20× magnification · H&E · 12 image tiles from a single gastric biopsy slide.
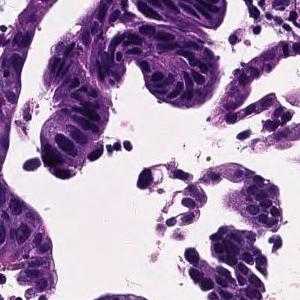
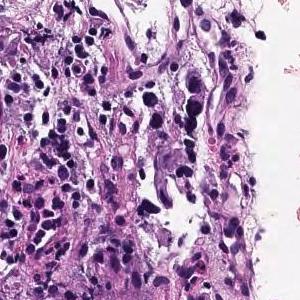
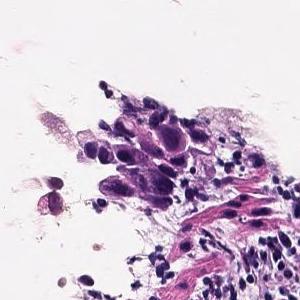
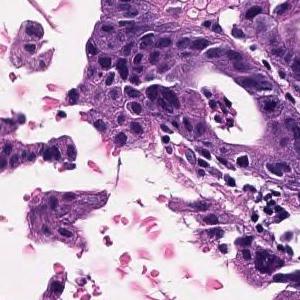
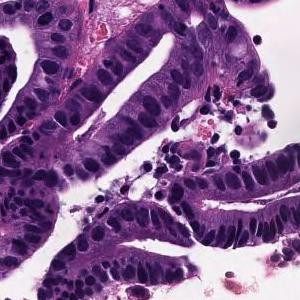
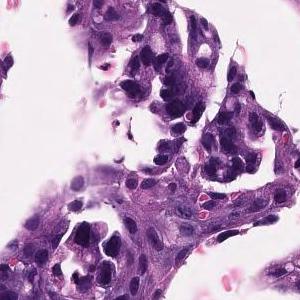
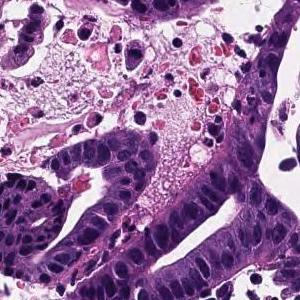
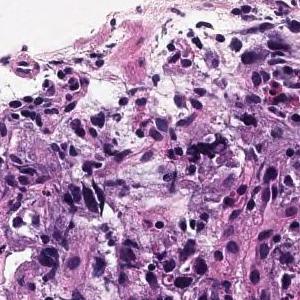
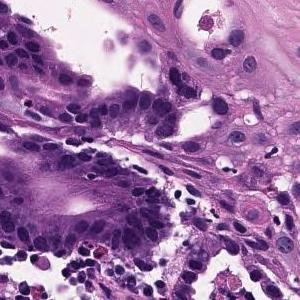
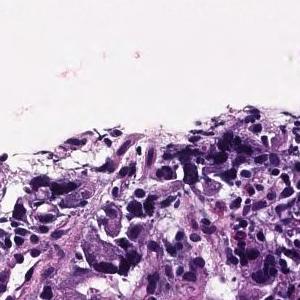
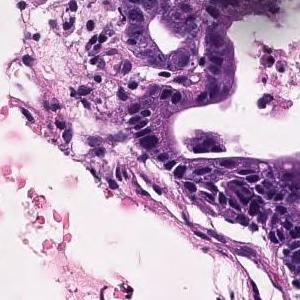
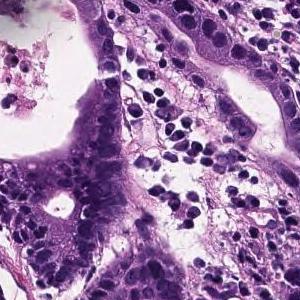
Pathology report for the slide these tiles were cut from. What the report and the diagnosis say applies to the whole slide; these tiles may miss some of the features named and may include tissue that is not tumor.
In the superficial epithelium, tumor tissue that invades by forming medium-sized to small, irregular ducts is observed. moderately differentiated tubular adenocarcinoma.
